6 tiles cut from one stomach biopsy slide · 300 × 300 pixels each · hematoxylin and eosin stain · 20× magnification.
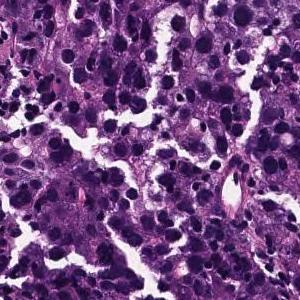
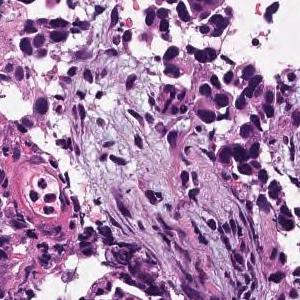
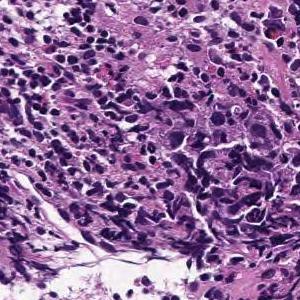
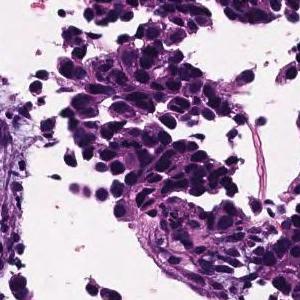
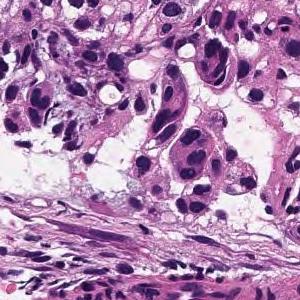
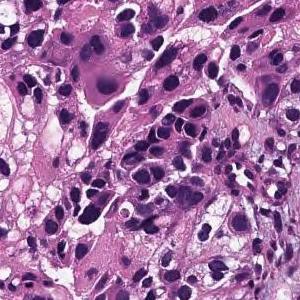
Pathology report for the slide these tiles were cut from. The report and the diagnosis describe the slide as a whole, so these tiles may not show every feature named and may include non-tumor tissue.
Medium to small, irregular glandular ducts are formed in the superficial epithelium, and in some cases, the glandular ducts are fused to show solid alveolar lesions and infiltrating tumor tissue is observed. Moderately to poorly differentiated adenocarcinoma.
